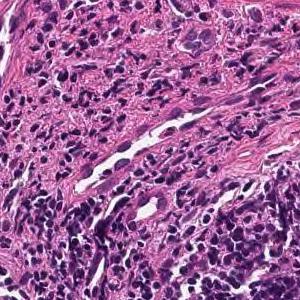
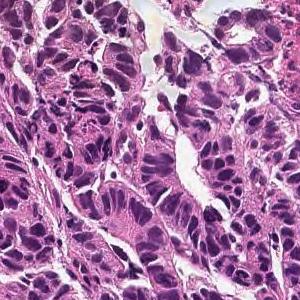
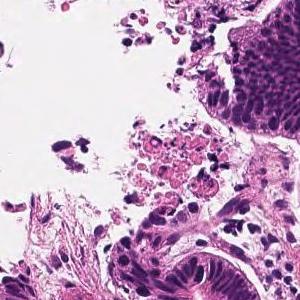
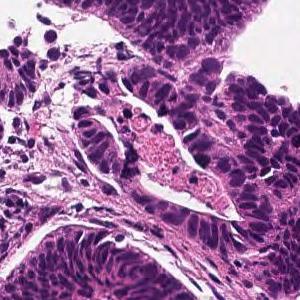
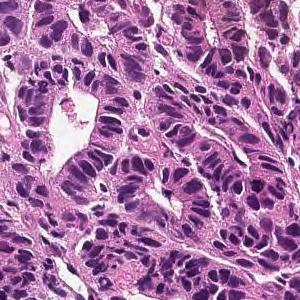
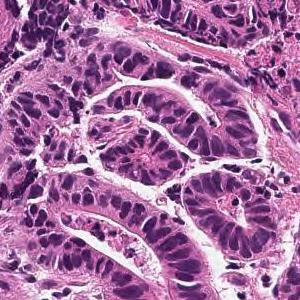
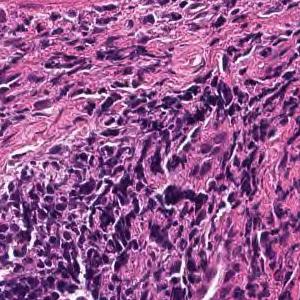
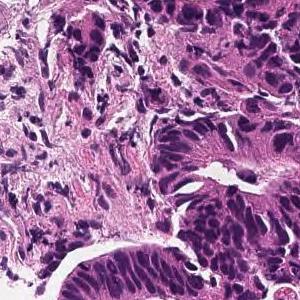
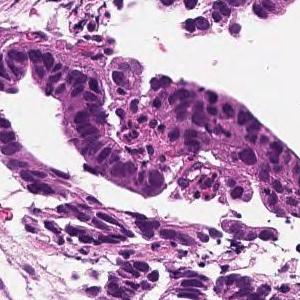
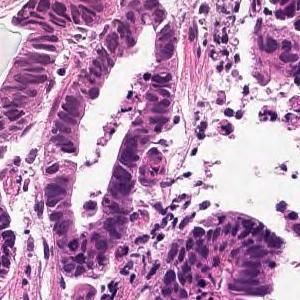
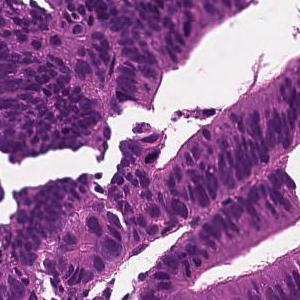
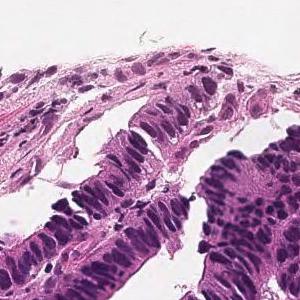
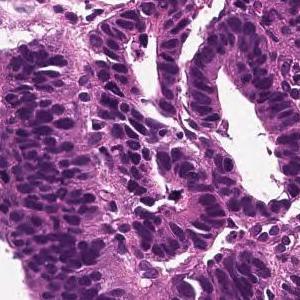
13 tiles cut from one stomach biopsy slide, 300×300 px each, ×20, H&E.
Pathology report for the biopsy slide these tiles were cut from. The report and the diagnosis describe the slide as a whole, so these tiles may not show every feature named and may include non-tumor tissue.
From the superficial epithelium to the muscularis mucosae, tumor tissue consisting of medium-sized and irregular glandular ducts infiltrating is observed. Well differentiated tubular adenocarcinoma
